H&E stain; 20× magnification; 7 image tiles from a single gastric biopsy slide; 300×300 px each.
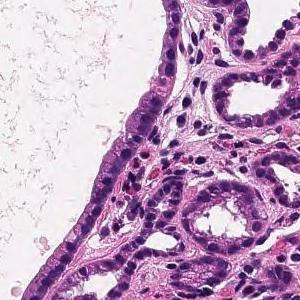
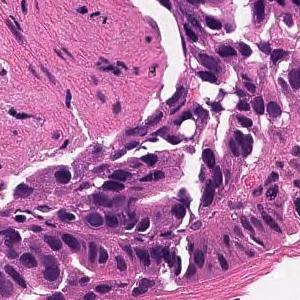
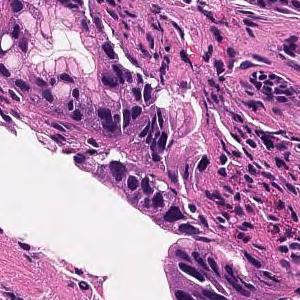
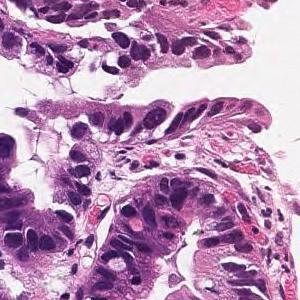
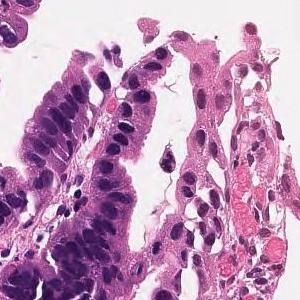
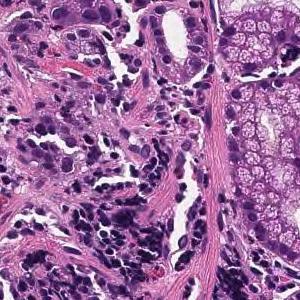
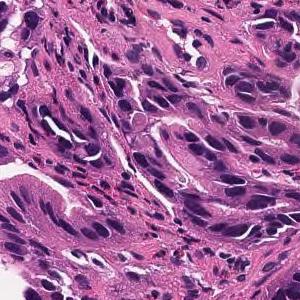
Pathology report for the slide these tiles were cut from. Both the report and the diagnosis are for the whole slide: these tiles need not show every feature named, and some of the tissue shown may not be tumor.
On the superficial epithelium, tumor tissue consisting of large, irregular glandular ducts partially fused and infiltrated is observed. Well to moderately differentiated tubular adenocarcinoma (well differentiated tubular adenocarcinoma, moderately differentiated tubular adenocarcinoma)
Tumor subtype: well to moderately differentiated tubular adenocarcinoma.
